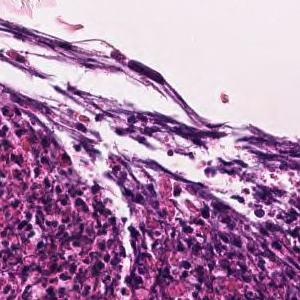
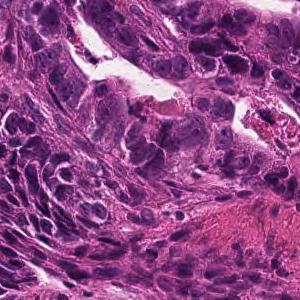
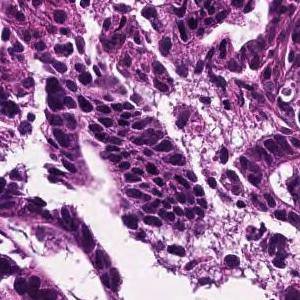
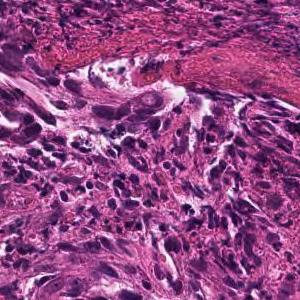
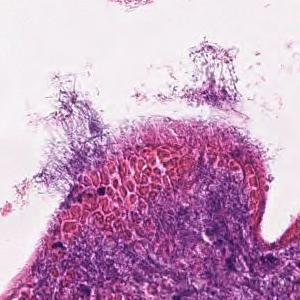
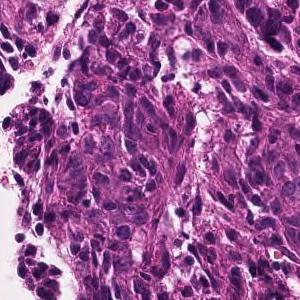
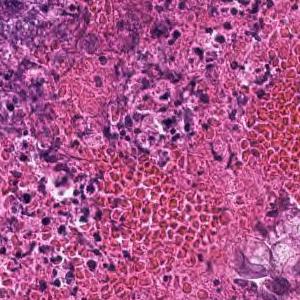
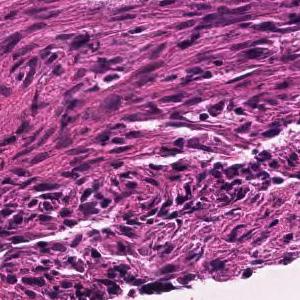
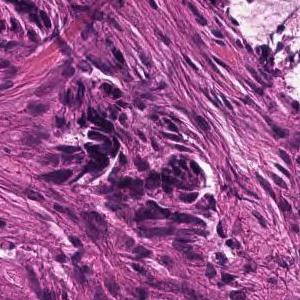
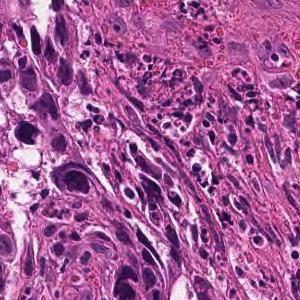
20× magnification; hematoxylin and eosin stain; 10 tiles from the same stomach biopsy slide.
The pathologist's report on the biopsy slide these tiles were taken from. What the report and the diagnosis say applies to the whole slide; these tiles may miss some of the features named and may include tissue that is not tumor.
In the superficial epithelium, tumor tissue that invades by forming medium-sized to small, irregular ducts is observed. moderately differentiated tubular adenocarcinoma.
